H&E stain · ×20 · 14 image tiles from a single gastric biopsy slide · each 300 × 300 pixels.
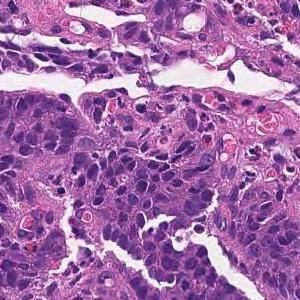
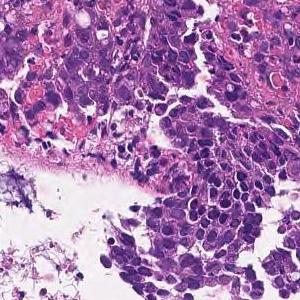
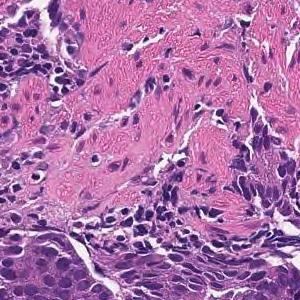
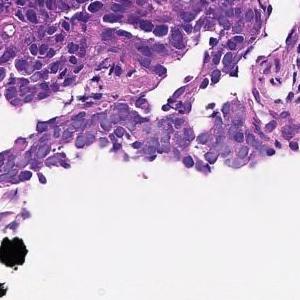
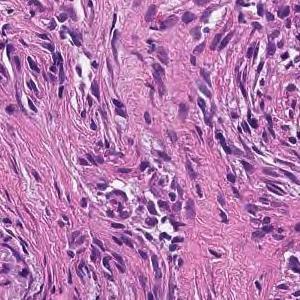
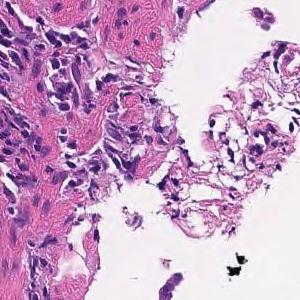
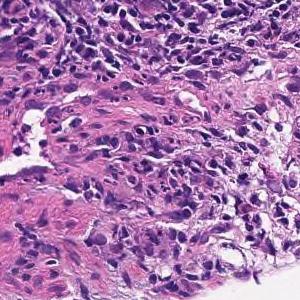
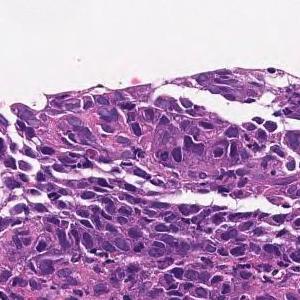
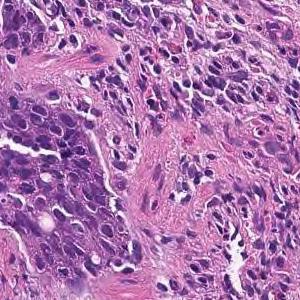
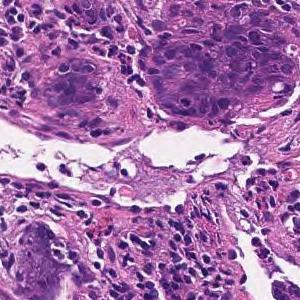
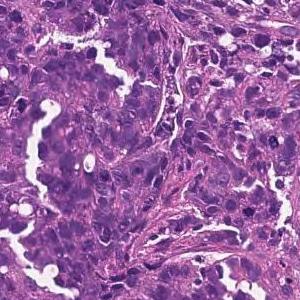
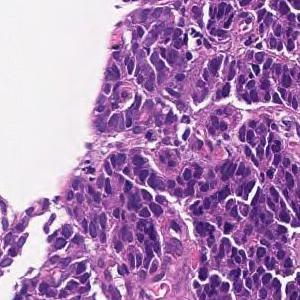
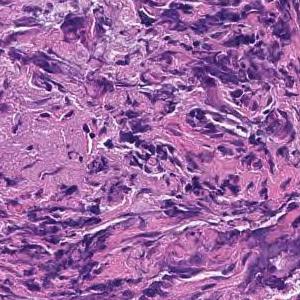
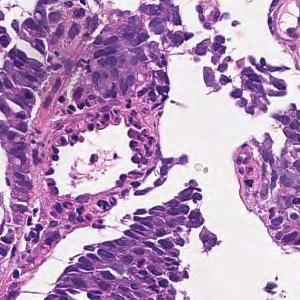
Diagnostic report for the slide these tiles come from. The findings and the diagnosis refer to the entire slide; these tiles show only part of it, possibly with non-tumor tissue, and may not show every feature named.
Tumor tissue consisting of cord-like or small, irregular glandular ducts fused and infiltrated is observed in the superficial epithelium. Poorly differentiated adenocarcinoma, non-solid type
The non-solid type named here is a Japanese Classification of Gastric Carcinoma category.
